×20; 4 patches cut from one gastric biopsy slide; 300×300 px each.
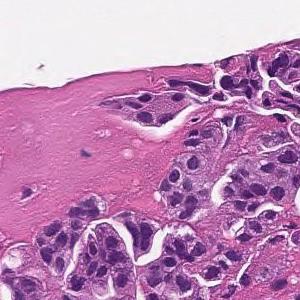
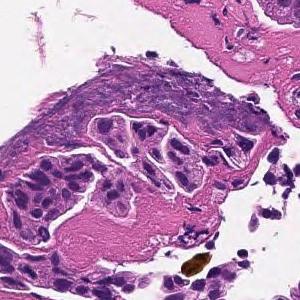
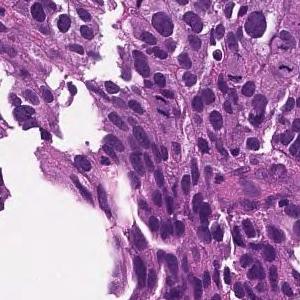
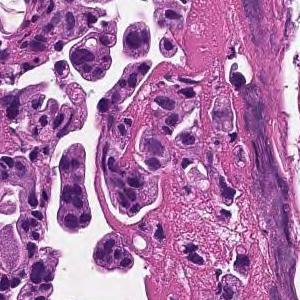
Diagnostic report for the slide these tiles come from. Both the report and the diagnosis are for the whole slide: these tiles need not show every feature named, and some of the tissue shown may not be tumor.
Medium to small, irregular glandular ducts are formed in the superficial epithelium, and in some cases, the glandular ducts are fused to show solid alveolar lesions and infiltrating tumor tissue is observed. Moderately to poorly differentiated adenocarcinoma.
